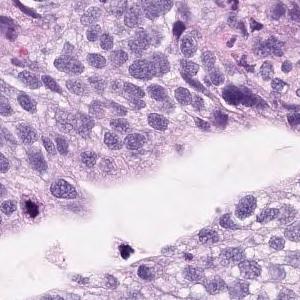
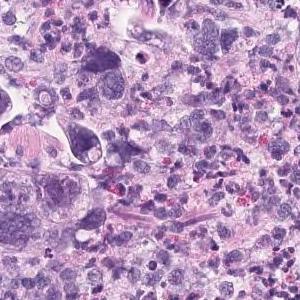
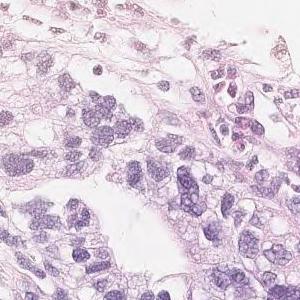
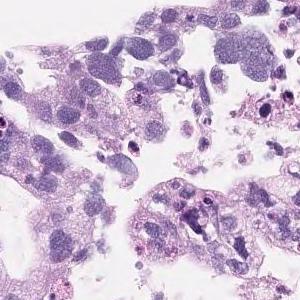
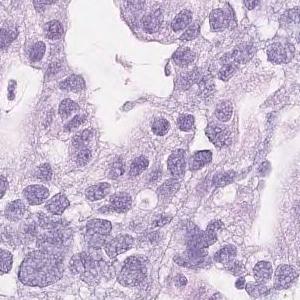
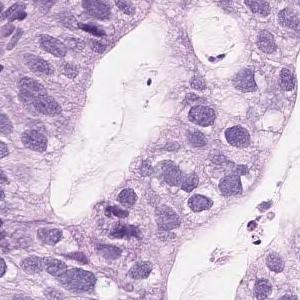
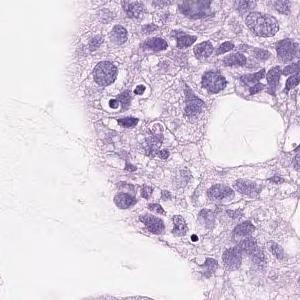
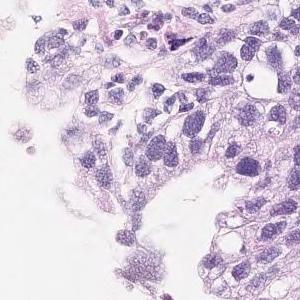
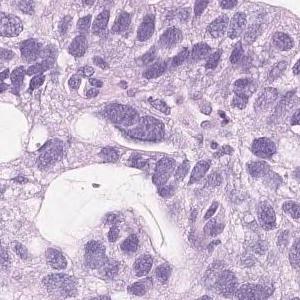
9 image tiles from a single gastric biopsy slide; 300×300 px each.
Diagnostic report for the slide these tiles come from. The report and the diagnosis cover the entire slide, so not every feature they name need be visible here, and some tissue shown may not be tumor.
On the superficial epithelium, tumor tissue consisting of large, irregular glandular ducts partially fused and infiltrated is observed. Well to moderately differentiated tubular adenocarcinoma (well differentiated tubular adenocarcinoma, moderately differentiated tubular adenocarcinoma)
Subtype: Well to moderately differentiated tubular adenocarcinoma.
